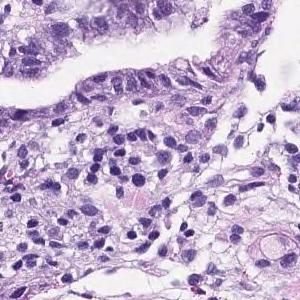
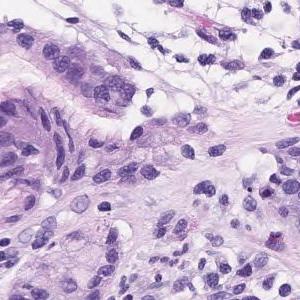
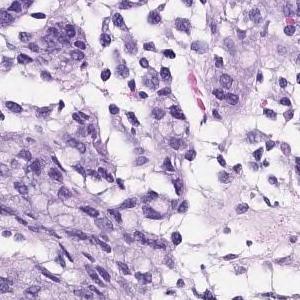
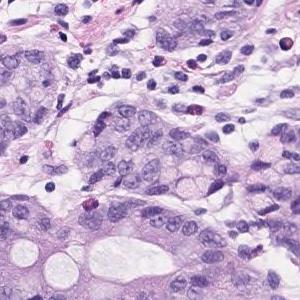
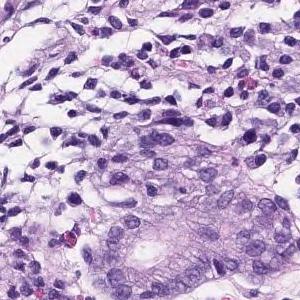
5 tiles from the same stomach biopsy slide; H&E; ×20.
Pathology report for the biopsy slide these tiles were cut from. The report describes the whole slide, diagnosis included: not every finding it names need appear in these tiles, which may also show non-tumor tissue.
Atypical l cells with atypical nuclei forming diffuse or small irregular atypical ducts and growing. Moderately to poorly differentiated adenocarcinoma (poorly differentiated adenocarcinoma, solid type moderately differentiated tubular adenocarcinoma)
Classified as moderately to poorly differentiated adenocarcinoma.
"Solid type" is a category of the Japanese Classification of Gastric Carcinoma; in the WHO 2019 classification it is tubular adenocarcinoma, poorly differentiated.
